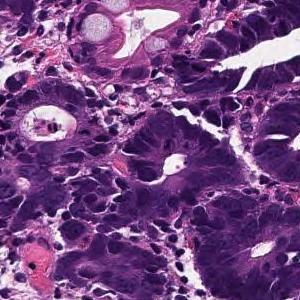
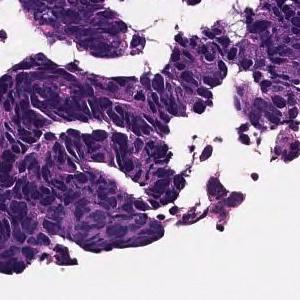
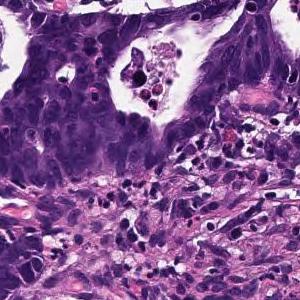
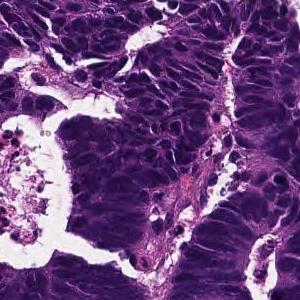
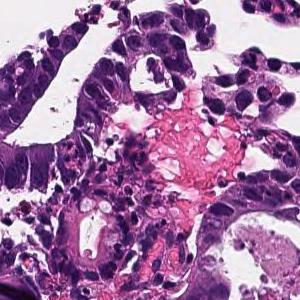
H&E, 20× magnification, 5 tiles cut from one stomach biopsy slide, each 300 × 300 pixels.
Pathology report for the slide these tiles were cut from. What the report and the diagnosis say applies to the whole slide; these tiles may miss some of the features named and may include tissue that is not tumor.
In the superficial epithelium, tumor tissue that invades by forming medium-sized to small, irregular ducts is observed. moderately differentiated tubular adenocarcinoma.
